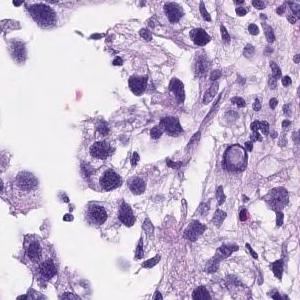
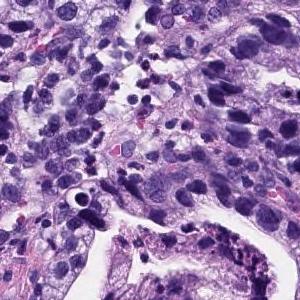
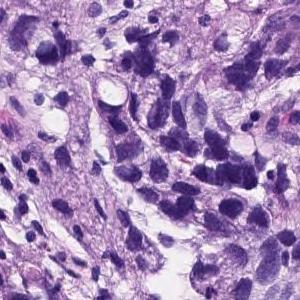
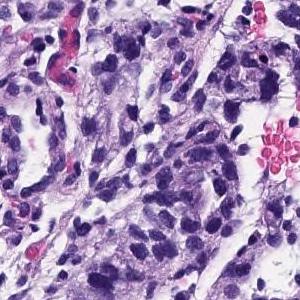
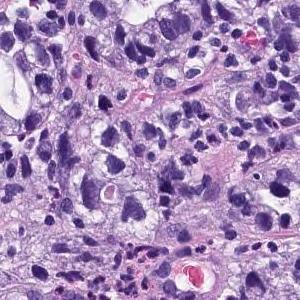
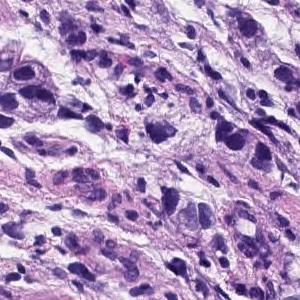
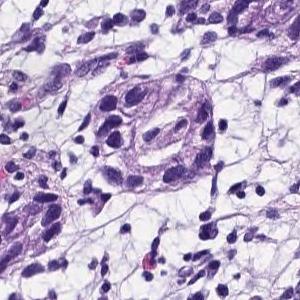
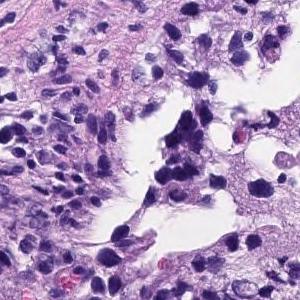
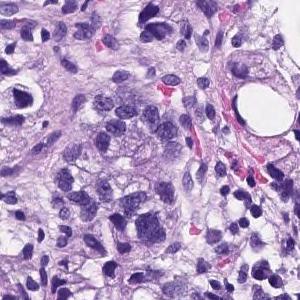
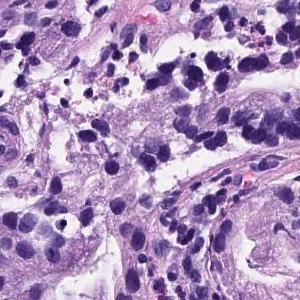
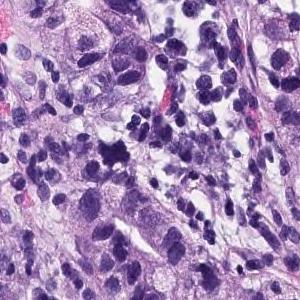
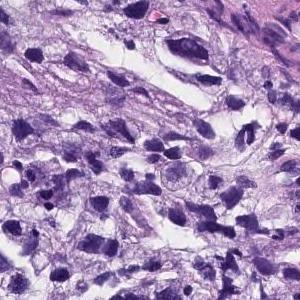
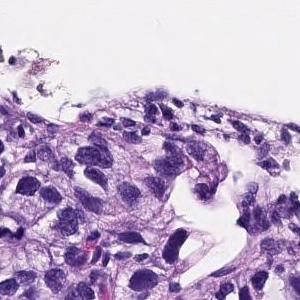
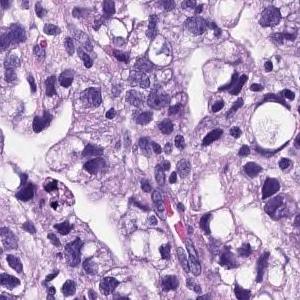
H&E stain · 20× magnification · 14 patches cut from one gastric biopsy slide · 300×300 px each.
Report on the slide these tiles come from. The report describes the whole slide, diagnosis included: not every finding it names need appear in these tiles, which may also show non-tumor tissue.
Medium to small, irregular glandular ducts are formed in the superficial epithelium, and in some cases, the glandular ducts are fused to show solid alveolar lesions and infiltrating tumor tissue is observed. Poorly differentiated adenocarcinoma, Moderately differentiated adenocarcinoma.
Labeled in the dataset as moderately differentiated tubular adenocarcinoma.
